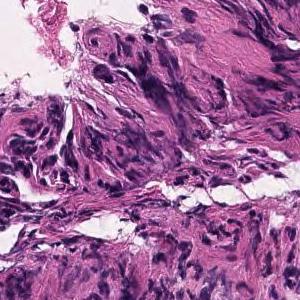
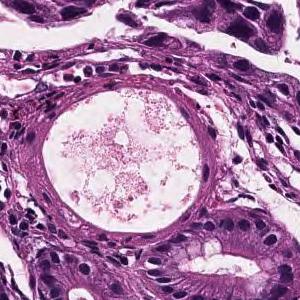
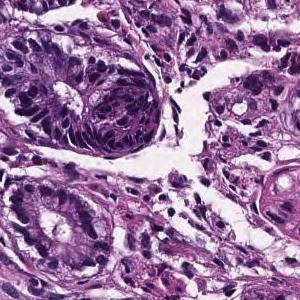
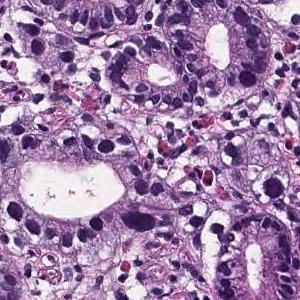
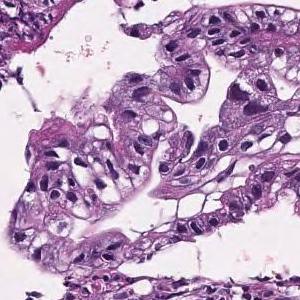
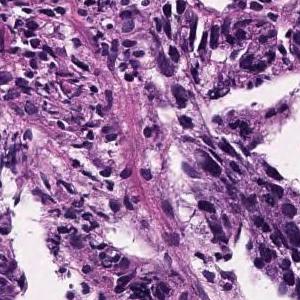
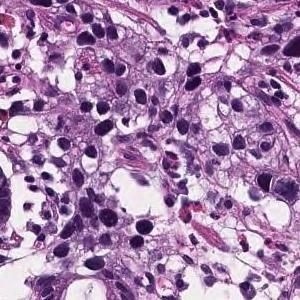
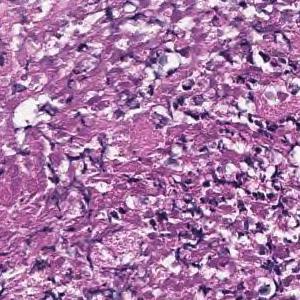
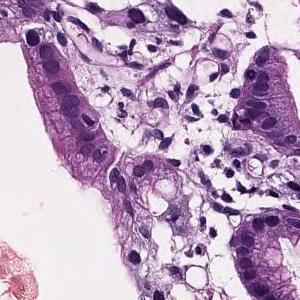
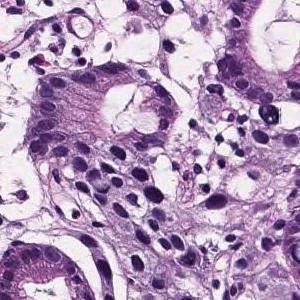
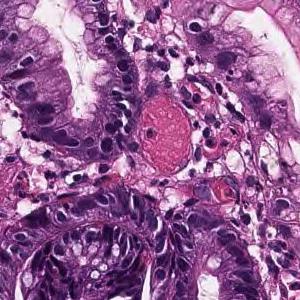
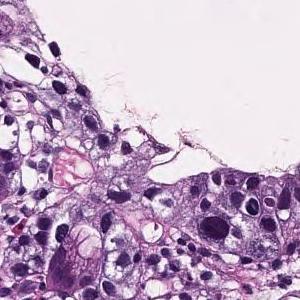
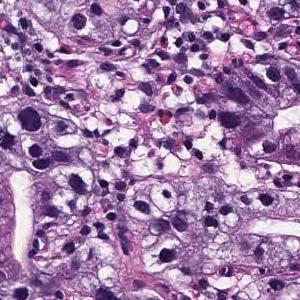
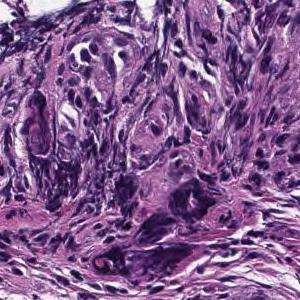
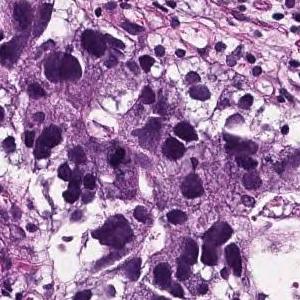
15 tiles cut from one stomach biopsy slide; H&E.
Pathology report for the biopsy slide these tiles were cut from. The report describes the whole slide, diagnosis included: not every finding it names need appear in these tiles, which may also show non-tumor tissue.
In the superficial epithelium, medium to small irregular gland ducts are formed, and in some cases, the ducts are fused to show solid alveolar lesions and infiltrating tumor tissue is observed. Moderately to poorly differentiated adenocarcinoma
